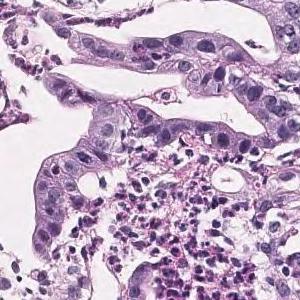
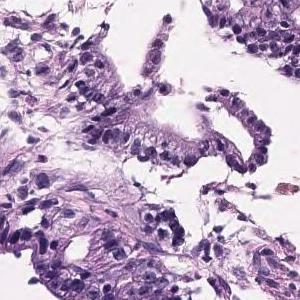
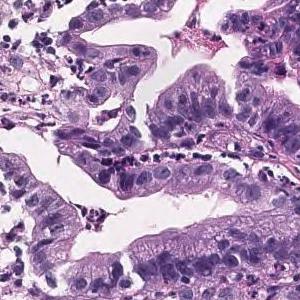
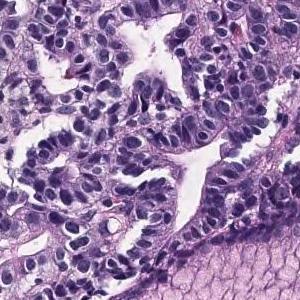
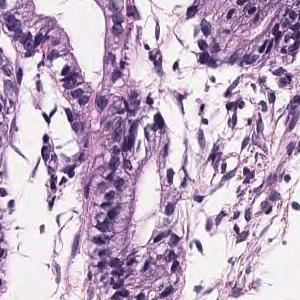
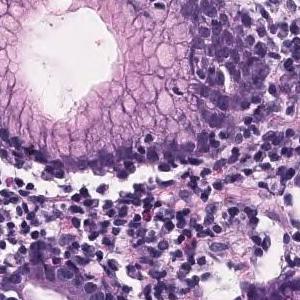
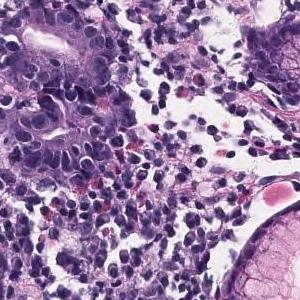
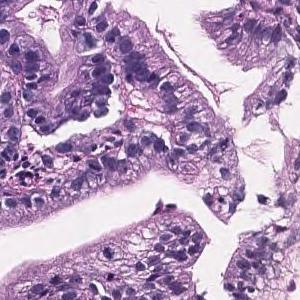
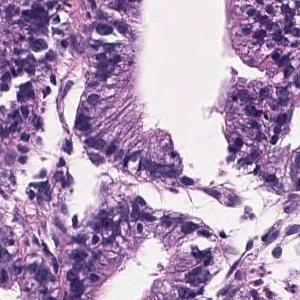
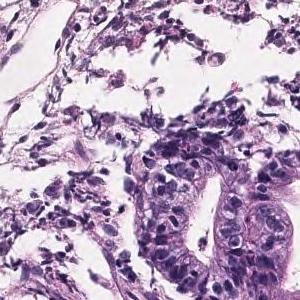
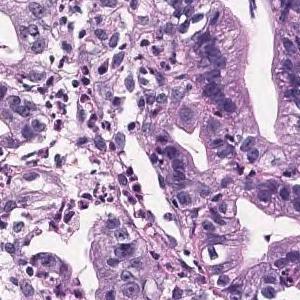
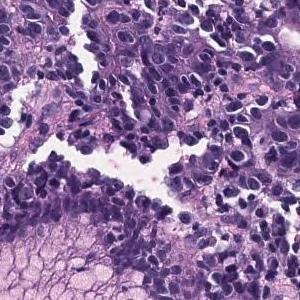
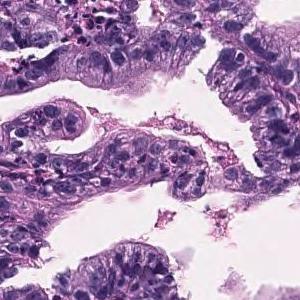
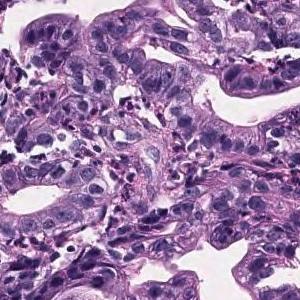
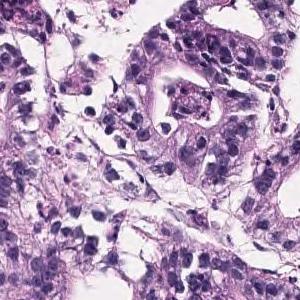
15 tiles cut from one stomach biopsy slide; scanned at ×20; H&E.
Pathology report for the slide these tiles were cut from. The report describes the whole slide, diagnosis included: not every finding it names need appear in these tiles, which may also show non-tumor tissue.
Tumor tissue in which highly columnar atypical epithelial cells with nuclear enlargement and increased nuclear chromatin show papillary to papillary ductal structure and proliferate is observed. Papillary adenocarcinoma.
